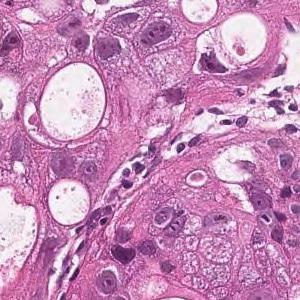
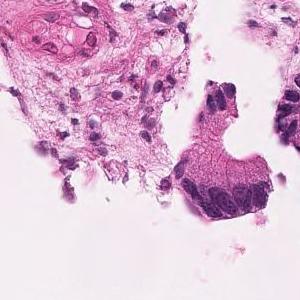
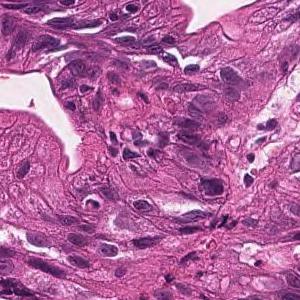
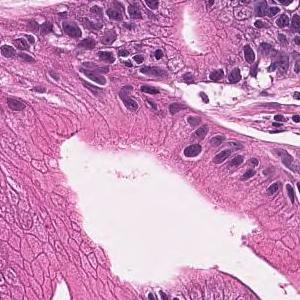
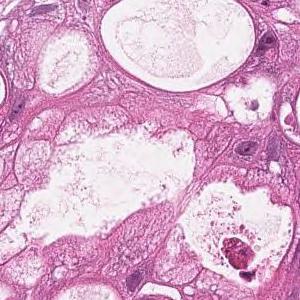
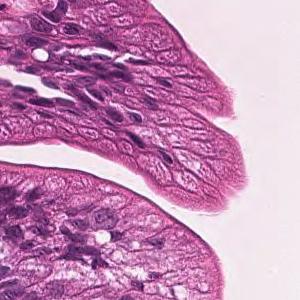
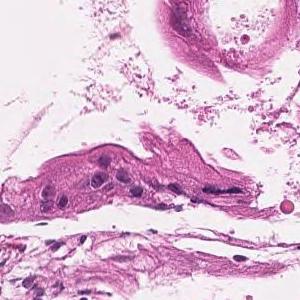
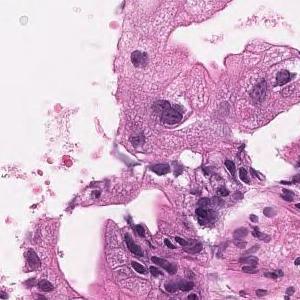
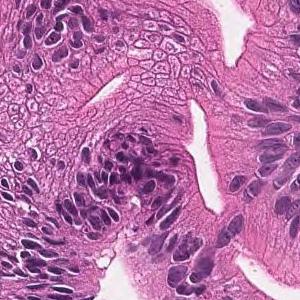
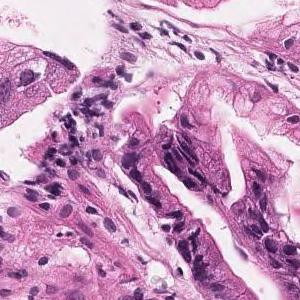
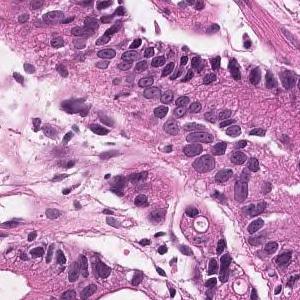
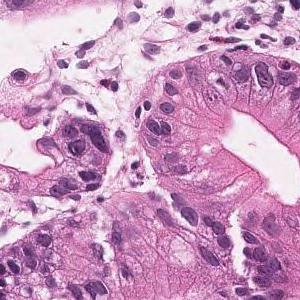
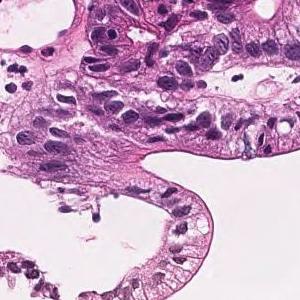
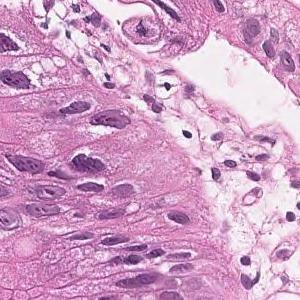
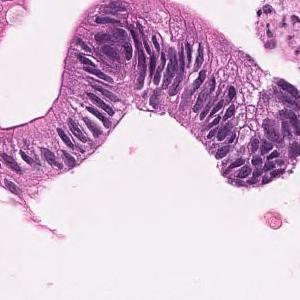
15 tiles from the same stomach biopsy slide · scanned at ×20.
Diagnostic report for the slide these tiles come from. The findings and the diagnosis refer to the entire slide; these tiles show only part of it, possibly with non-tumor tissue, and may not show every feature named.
On the superficial epithelium, tumor tissue that infiltrates by forming medium-sized papillary or small irregular ducts is observed. Papillary adenocarcinoma
